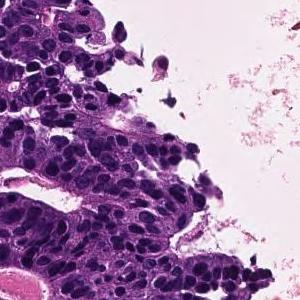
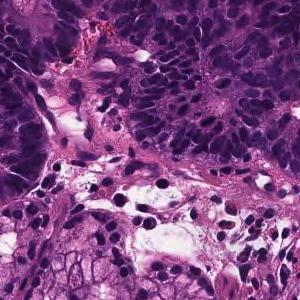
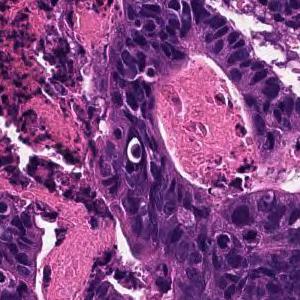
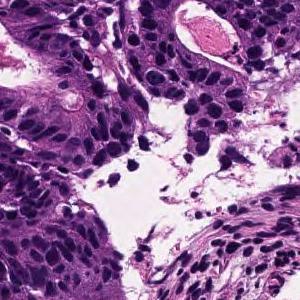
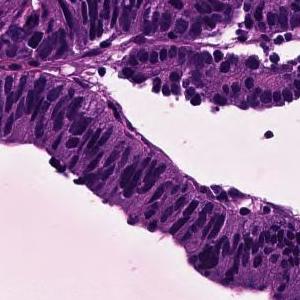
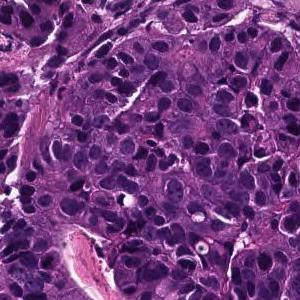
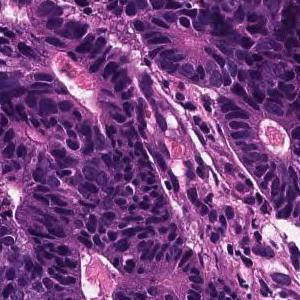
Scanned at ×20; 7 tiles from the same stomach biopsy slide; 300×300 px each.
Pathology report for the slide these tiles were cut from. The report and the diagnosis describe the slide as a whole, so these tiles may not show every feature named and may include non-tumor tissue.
In the superficial epithelium, tumor tissue that invades by forming medium-sized to small, irregular ducts is observed. moderately differentiated tubular adenocarcinoma.
